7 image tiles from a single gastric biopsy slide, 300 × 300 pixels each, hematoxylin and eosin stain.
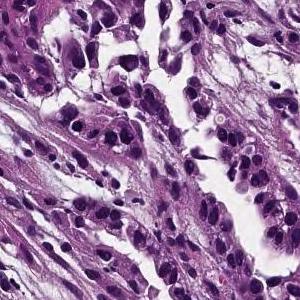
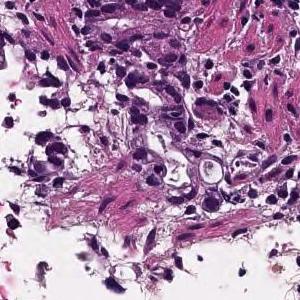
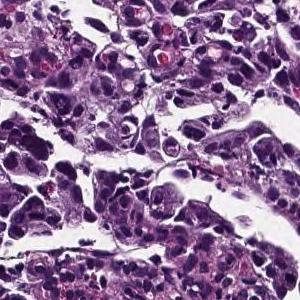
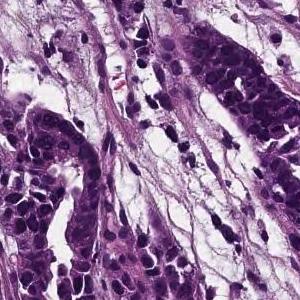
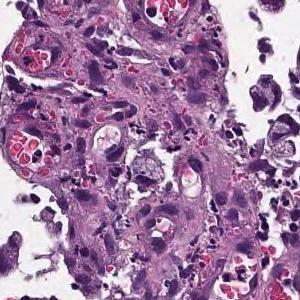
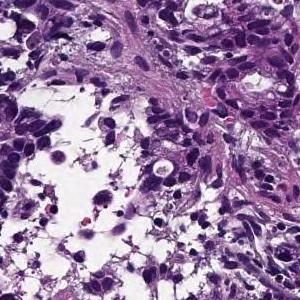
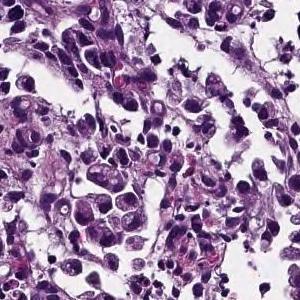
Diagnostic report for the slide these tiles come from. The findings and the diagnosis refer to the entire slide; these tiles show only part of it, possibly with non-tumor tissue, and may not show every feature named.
Medium to small, irregular glandular ducts are formed in the superficial epithelium, and in some cases, the glandular ducts are fused to show solid alveolar lesions and infiltrating tumor tissue is observed. Moderately to poorly differentiated adenocarcinoma.
